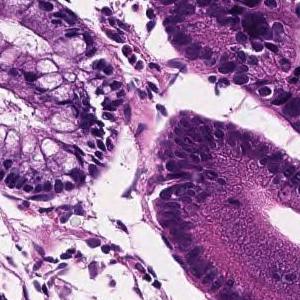
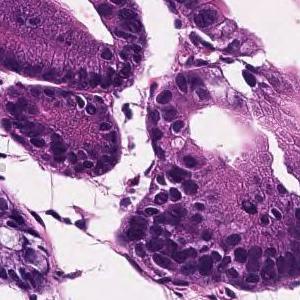
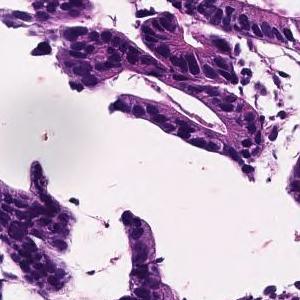
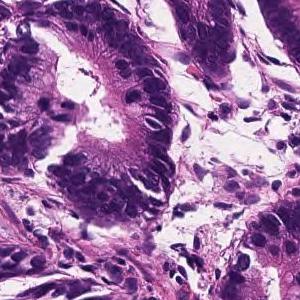
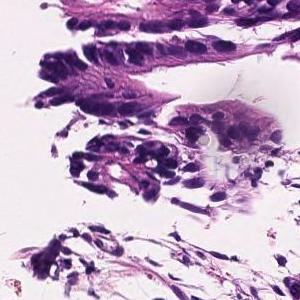
Hematoxylin and eosin stain, ×20, 5 patches cut from one gastric biopsy slide, 300 × 300 pixels each.
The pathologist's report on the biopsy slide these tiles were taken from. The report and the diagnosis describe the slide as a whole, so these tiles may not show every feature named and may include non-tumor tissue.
Tumor tissue that grows invasively while the short atypical epithelium forms irregular ducts is observed. Well differentiated tubular adenocarcinoma
